5 tiles from the same stomach biopsy slide · 300 × 300 pixels each.
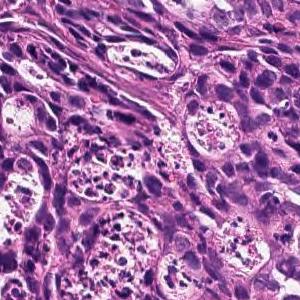
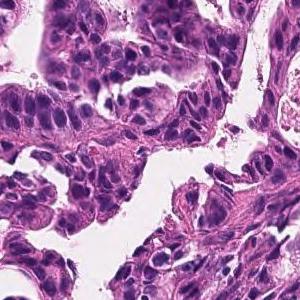
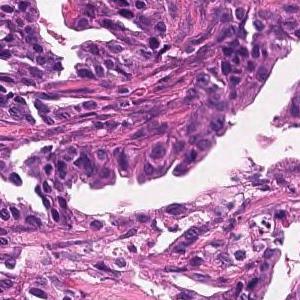
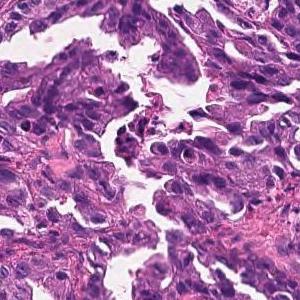
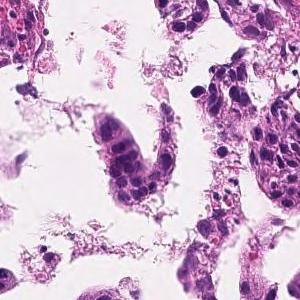
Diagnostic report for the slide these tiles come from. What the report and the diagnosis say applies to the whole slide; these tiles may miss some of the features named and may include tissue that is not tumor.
On the superficial epithelium, tumor tissue consisting of images of small to medium-sized and irregular tubules infiltrating with irregular fusion is observed. moderately differentiated tubular adenocarcinoma
